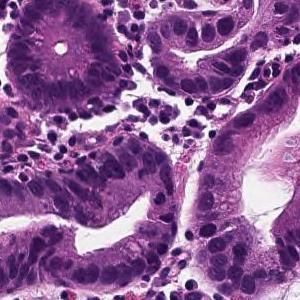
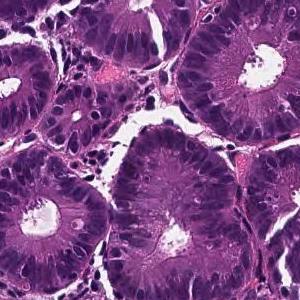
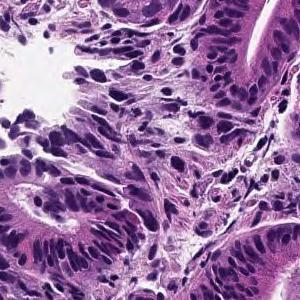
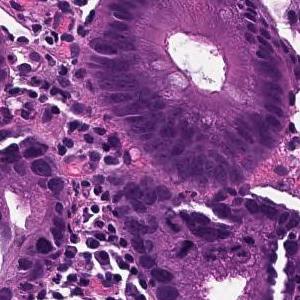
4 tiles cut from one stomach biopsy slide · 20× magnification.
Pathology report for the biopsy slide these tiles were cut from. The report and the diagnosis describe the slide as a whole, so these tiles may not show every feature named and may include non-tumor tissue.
From the superficial epithelium to the muscularis mucosae, tumor tissue consisting of medium-sized and irregular glandular ducts infiltrating is observed. Well differentiated tubular adenocarcinoma
